20× magnification; 5 tiles cut from one stomach biopsy slide; each 300 × 300 pixels.
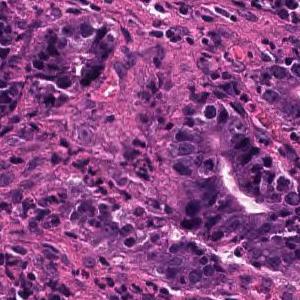
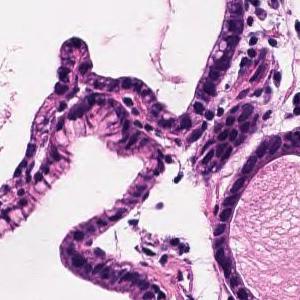
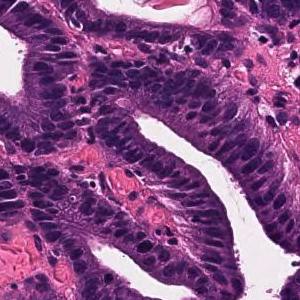
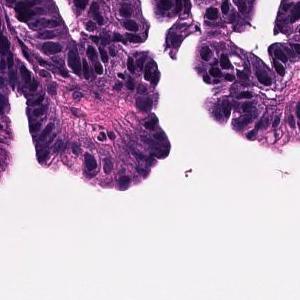
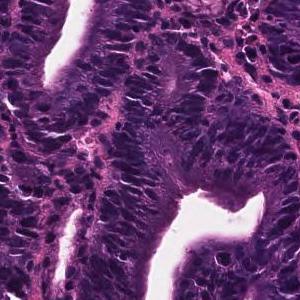
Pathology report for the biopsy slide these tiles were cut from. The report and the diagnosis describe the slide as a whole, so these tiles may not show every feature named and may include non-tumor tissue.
Tumor tissue that remains within the superficial epithelium and is infiltrated by large papillary or irregular ducts that fuse with each other is observed. Well differentiated tubular adenocarcinoma
